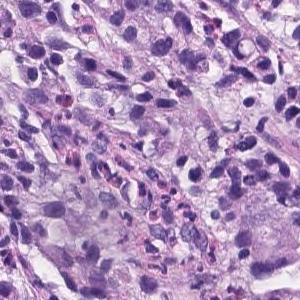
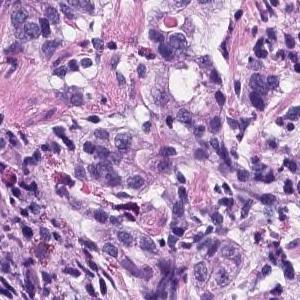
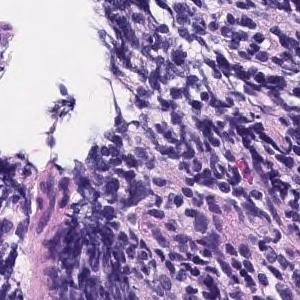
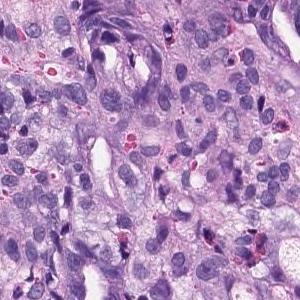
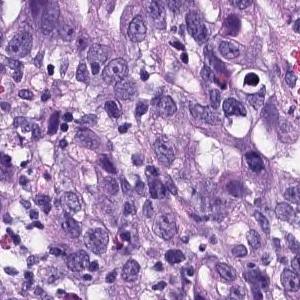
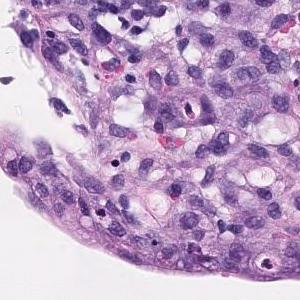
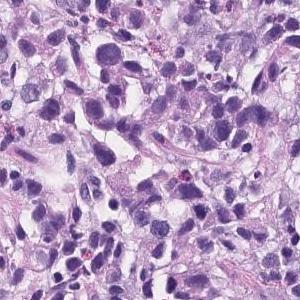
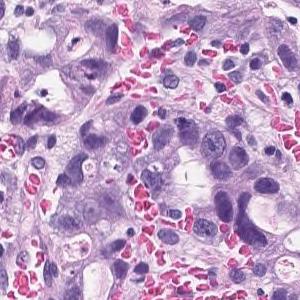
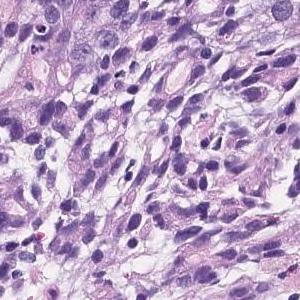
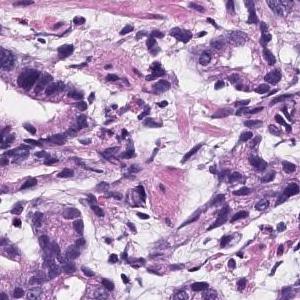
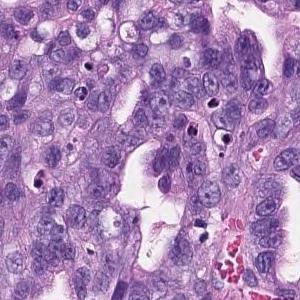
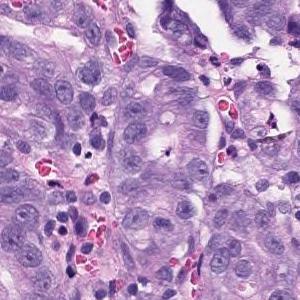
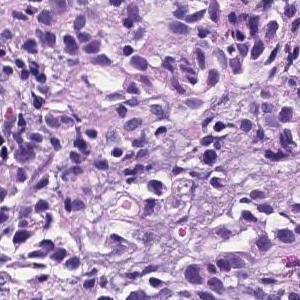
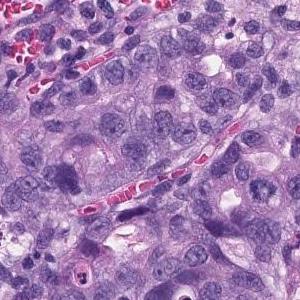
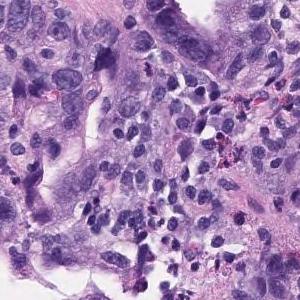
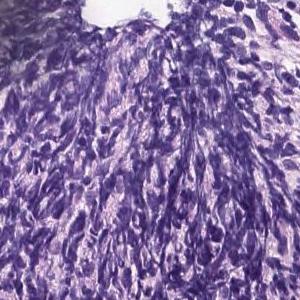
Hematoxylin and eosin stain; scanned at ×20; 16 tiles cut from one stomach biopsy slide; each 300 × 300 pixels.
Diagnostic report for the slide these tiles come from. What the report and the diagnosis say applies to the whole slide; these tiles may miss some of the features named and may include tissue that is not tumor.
There are atypical l cells with atypical nuclei forming cord-like or irregular atypical ducts from solidity and proliferating in a comprehensive manner. Poorly differentiated adenocarcinoma, Moderately differentiated adenocarcinoma (poorly differentiated adenocarcinoma, solid type moderately differentiated tubular adenocarcinoma)
Histological subtype: Moderately to poorly differentiated adenocarcinoma.
"Solid type" is a category of the Japanese Classification of Gastric Carcinoma; in the WHO 2019 classification it is tubular adenocarcinoma, poorly differentiated.
